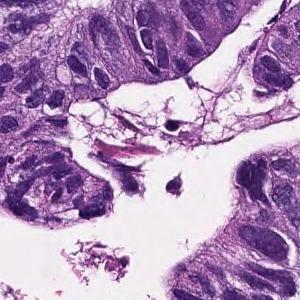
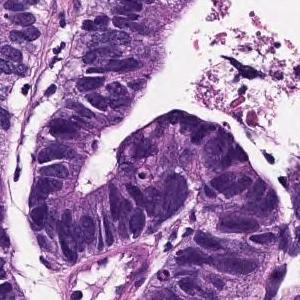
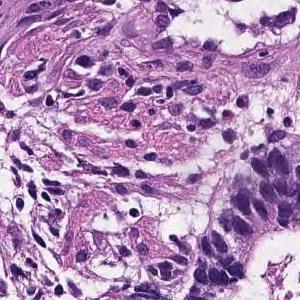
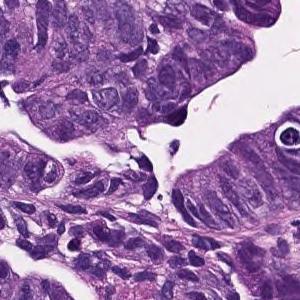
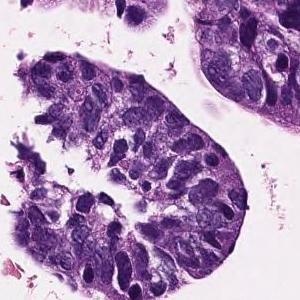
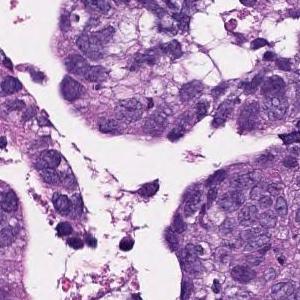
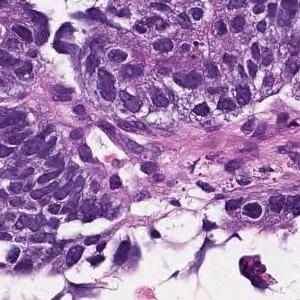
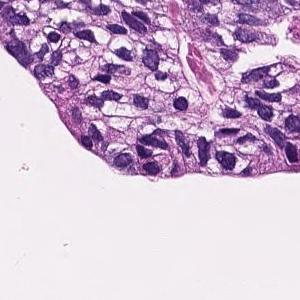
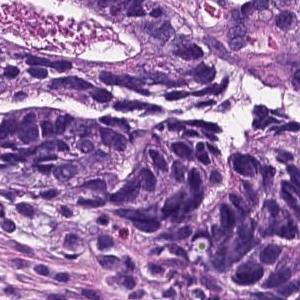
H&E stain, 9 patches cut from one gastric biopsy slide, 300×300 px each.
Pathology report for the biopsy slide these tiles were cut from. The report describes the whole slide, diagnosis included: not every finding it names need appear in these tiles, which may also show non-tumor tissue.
In the superficial epithelium, tumor tissue that invades by forming medium-sized to small, irregular ducts is observed. moderately differentiated tubular adenocarcinoma.
